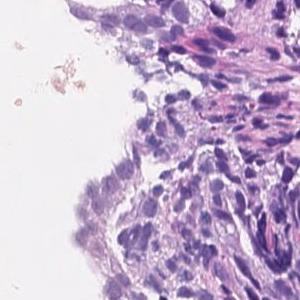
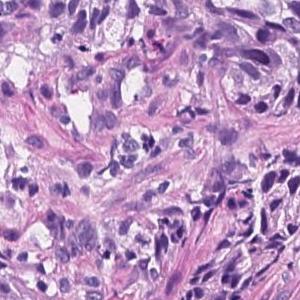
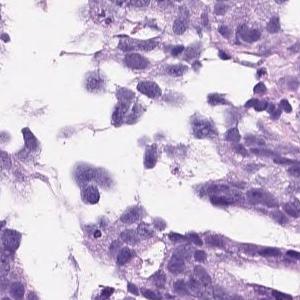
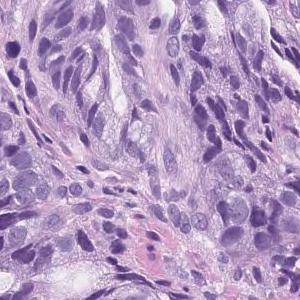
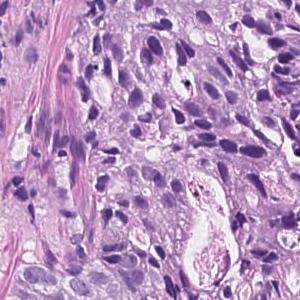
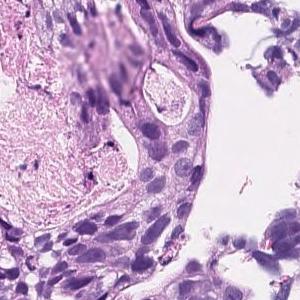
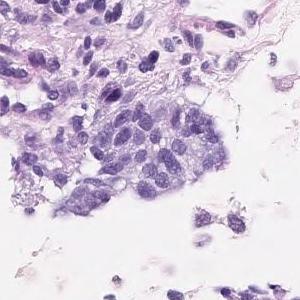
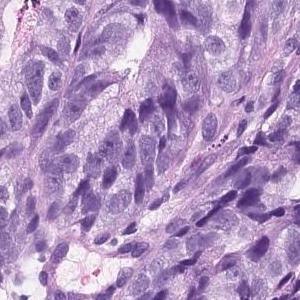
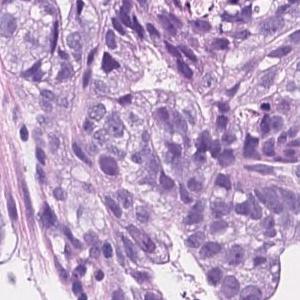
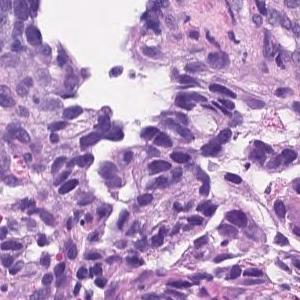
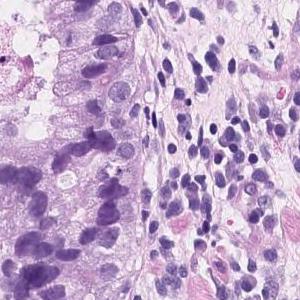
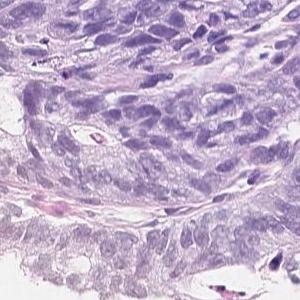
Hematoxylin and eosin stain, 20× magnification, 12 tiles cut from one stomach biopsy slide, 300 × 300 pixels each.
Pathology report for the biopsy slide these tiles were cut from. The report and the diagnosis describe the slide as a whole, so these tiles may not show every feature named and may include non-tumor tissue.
On the superficial epithelium, tumor tissue consisting of an image of large, irregular glandular ducts partially fused and infiltrated is observed. Well to moderately differentiated tubular adenocarcinoma
